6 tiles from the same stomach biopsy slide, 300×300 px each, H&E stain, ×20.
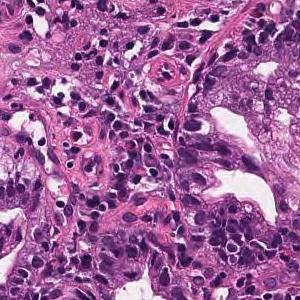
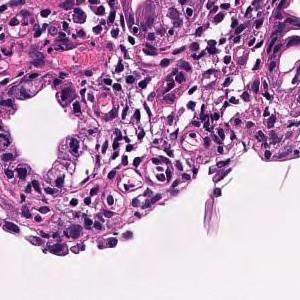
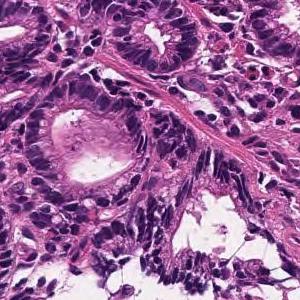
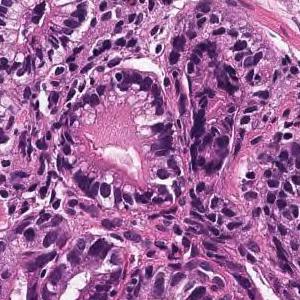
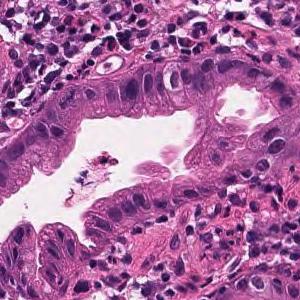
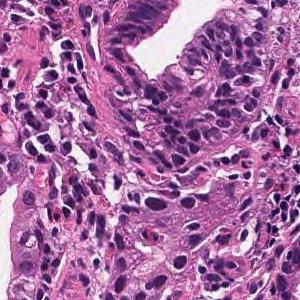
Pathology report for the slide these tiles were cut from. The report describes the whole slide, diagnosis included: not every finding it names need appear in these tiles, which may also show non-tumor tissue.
Tumor tissue in which medium to small irregular ducts infiltrate and proliferate in the submucosa can be seen in the epithelium. Well differentiated tubular adenocarcinoma
